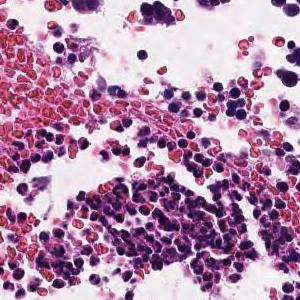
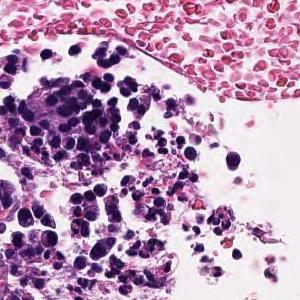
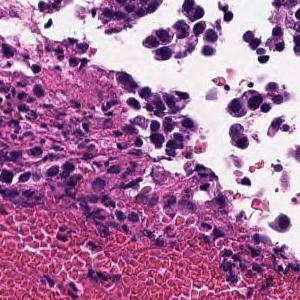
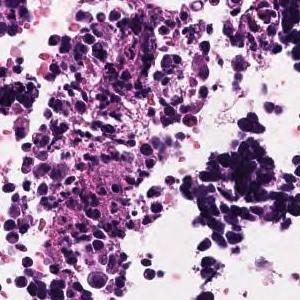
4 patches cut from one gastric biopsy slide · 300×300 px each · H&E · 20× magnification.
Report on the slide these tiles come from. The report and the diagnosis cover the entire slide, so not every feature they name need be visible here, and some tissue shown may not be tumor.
The superficial epithelium shows a large sheet-like shape, and some tumor tissue infiltrates with small irregular ducts. Poorly differentiated adenocarcinoma, solid-type
Subtype: Poorly differentiated adenocarcinoma, solid type (Japanese Classification of Gastric Carcinoma). The WHO 2019 equivalent is tubular adenocarcinoma, poorly differentiated.
